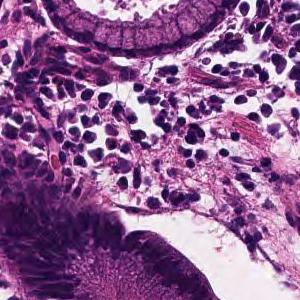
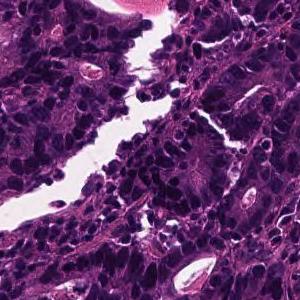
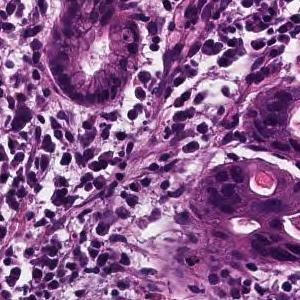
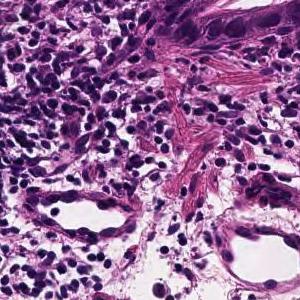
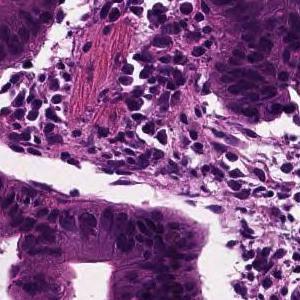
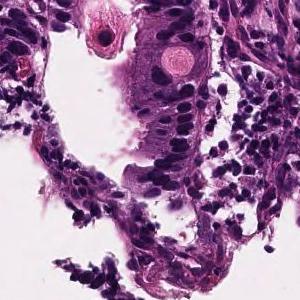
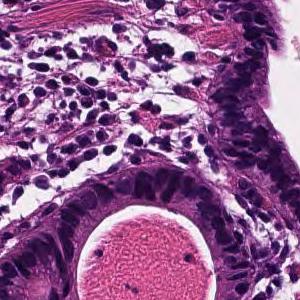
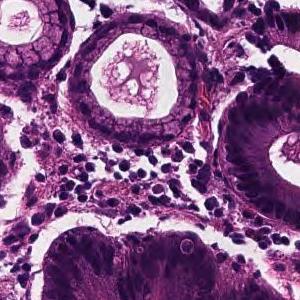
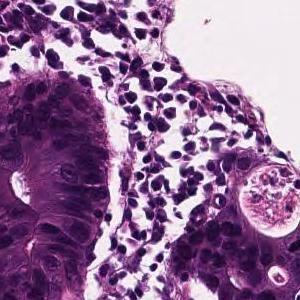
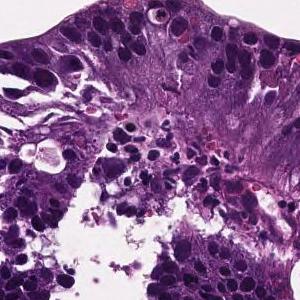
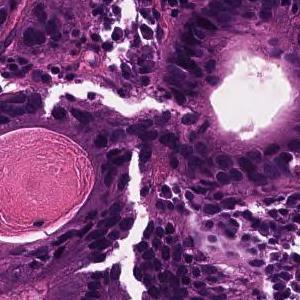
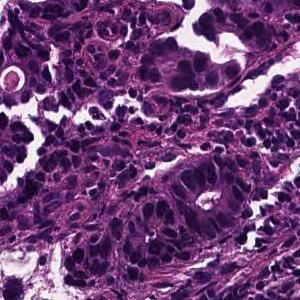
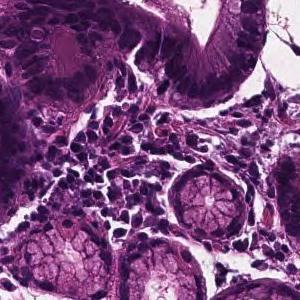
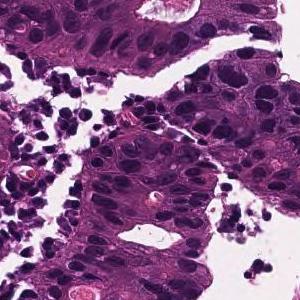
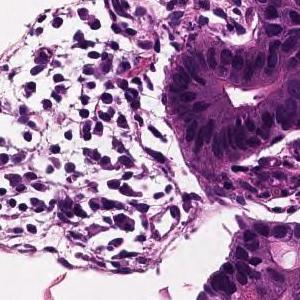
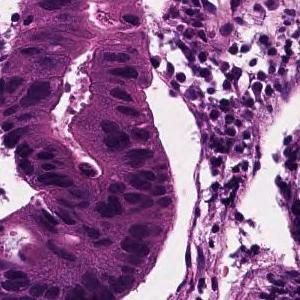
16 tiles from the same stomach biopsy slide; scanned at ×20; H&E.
Pathology report for the slide these tiles were cut from. The report describes the whole slide, diagnosis included: not every finding it names need appear in these tiles, which may also show non-tumor tissue.
In the superficial epithelium, tumor tissue that invades by forming medium-sized to small, irregular ducts is observed. moderately differentiated tubular adenocarcinoma.
